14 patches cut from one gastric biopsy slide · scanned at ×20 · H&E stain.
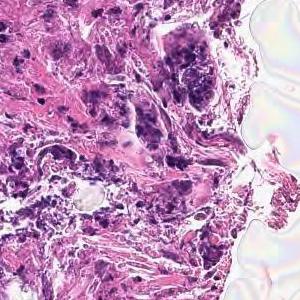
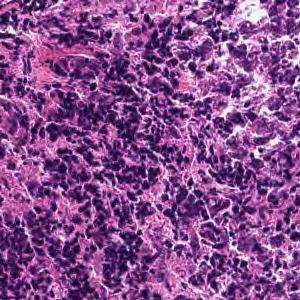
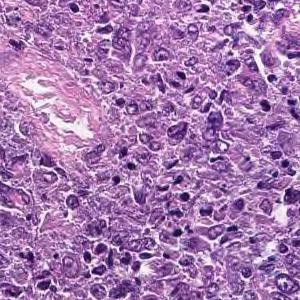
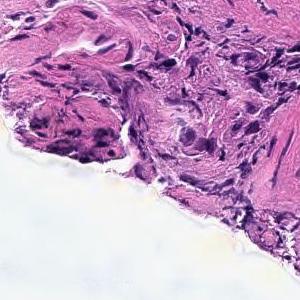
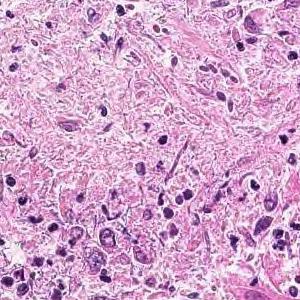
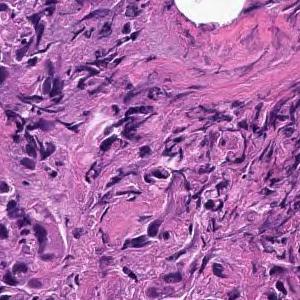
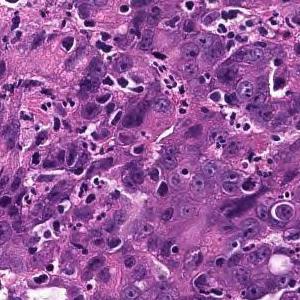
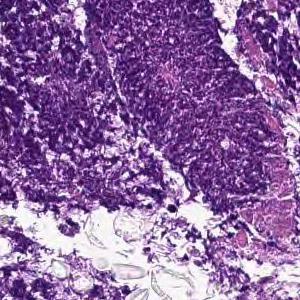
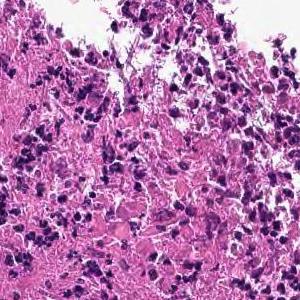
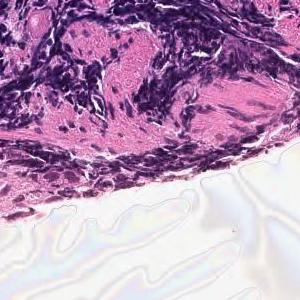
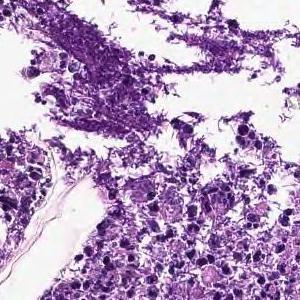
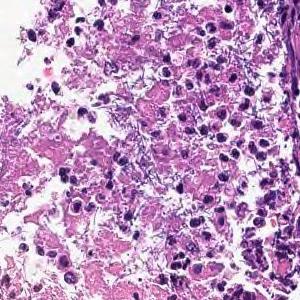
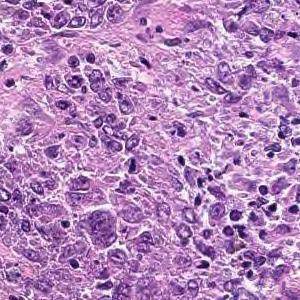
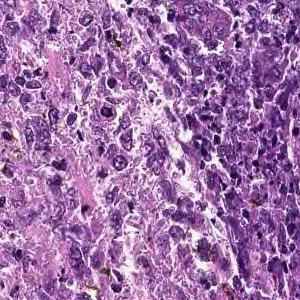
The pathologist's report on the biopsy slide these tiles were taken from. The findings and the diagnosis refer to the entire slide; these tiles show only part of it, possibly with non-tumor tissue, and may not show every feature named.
Cancers with polygonal nuclei do not show glandular formation and are densely, in part, cord-like and proliferate. Poorly differentiated adenocarcinoma
Subtype: Poorly differentiated adenocarcinoma, non-solid type.
"Non-solid type" is a category of the Japanese Classification of Gastric Carcinoma.
